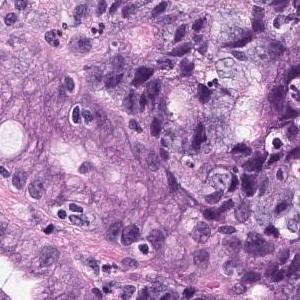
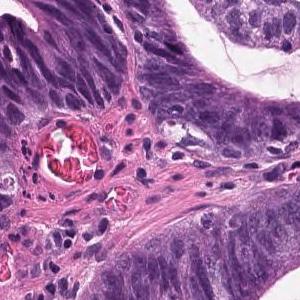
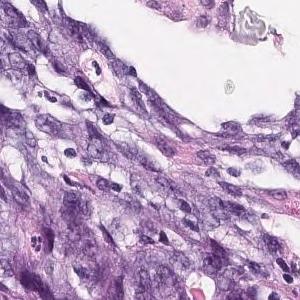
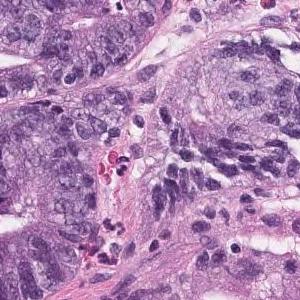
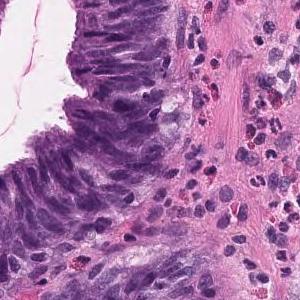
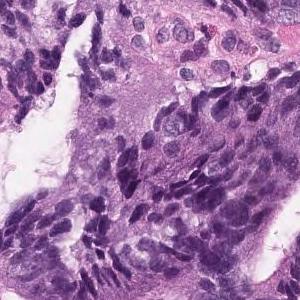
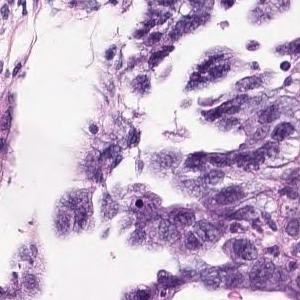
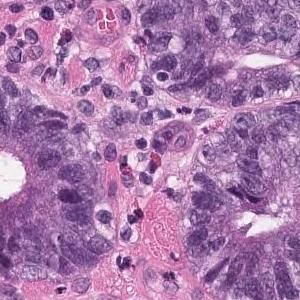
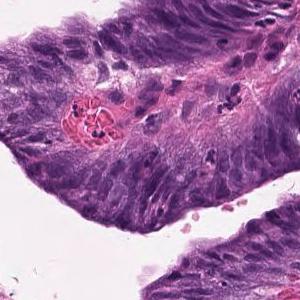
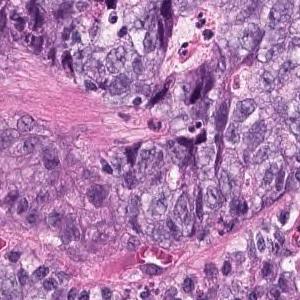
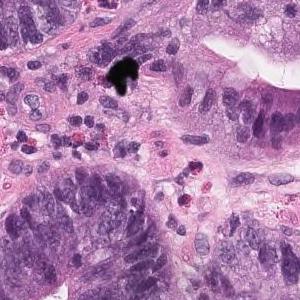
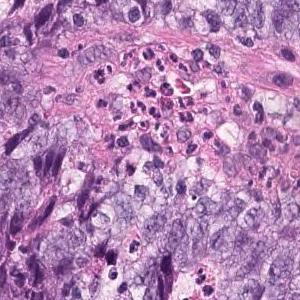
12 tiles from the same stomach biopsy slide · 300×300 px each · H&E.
Diagnostic report for the slide these tiles come from. The findings and the diagnosis refer to the entire slide; these tiles show only part of it, possibly with non-tumor tissue, and may not show every feature named.
Large atypical epithelial cells with swollen atypical nuclei are seen proliferating into a tubular fusion gland. moderately differentiated tubular adenocarcinoma
